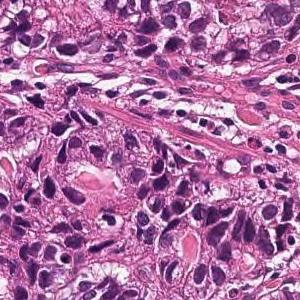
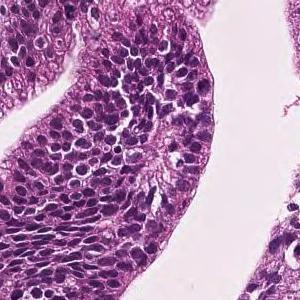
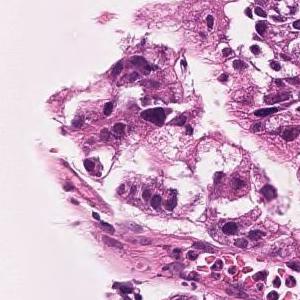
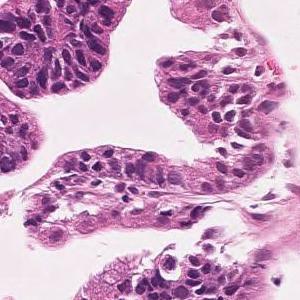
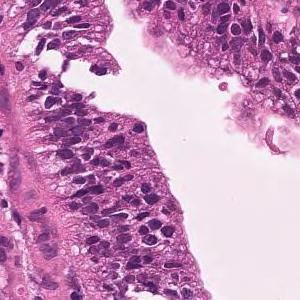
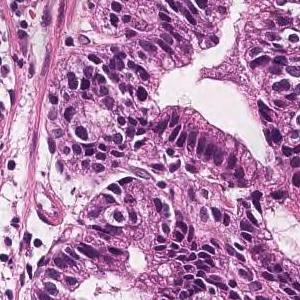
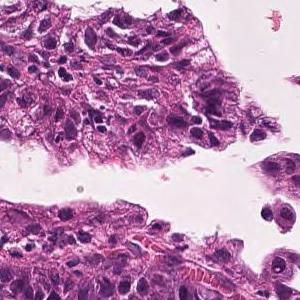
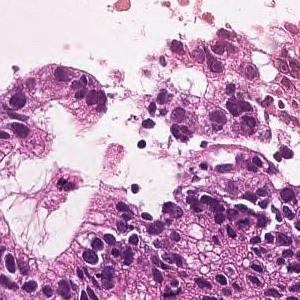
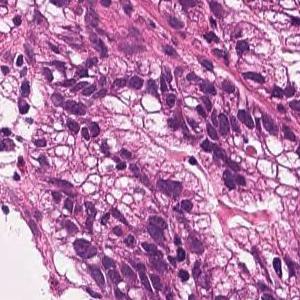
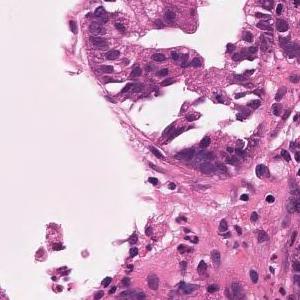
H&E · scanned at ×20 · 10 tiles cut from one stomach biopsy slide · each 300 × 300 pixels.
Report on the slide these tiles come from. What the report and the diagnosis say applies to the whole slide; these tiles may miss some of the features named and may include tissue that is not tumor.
On the superficial epithelium, tumor tissue consisting of large, irregular glandular ducts partially fused and infiltrated is observed. Well to moderately differentiated tubular adenocarcinoma (well differentiated tubular adenocarcinoma, moderately differentiated tubular adenocarcinoma)
Histological subtype: Well to moderately differentiated tubular adenocarcinoma.
